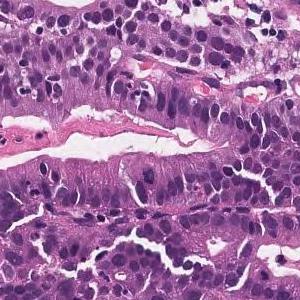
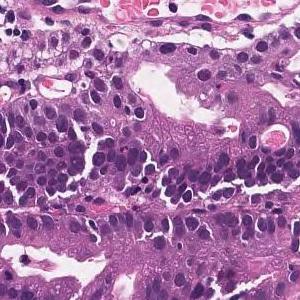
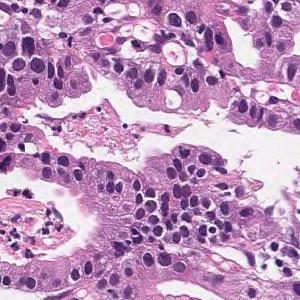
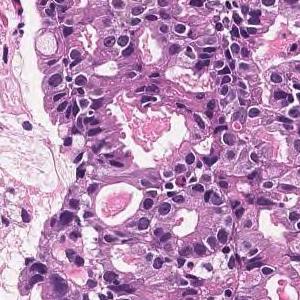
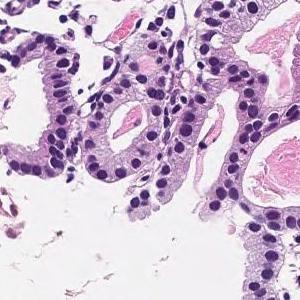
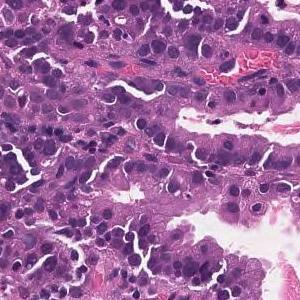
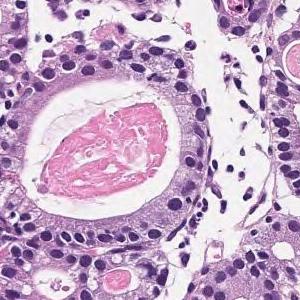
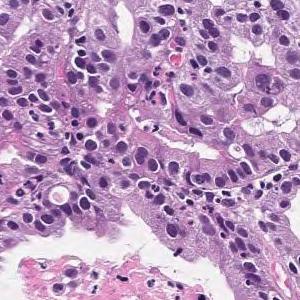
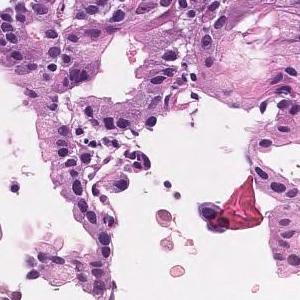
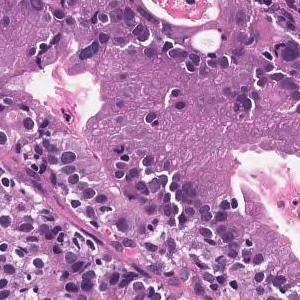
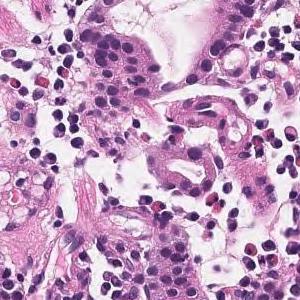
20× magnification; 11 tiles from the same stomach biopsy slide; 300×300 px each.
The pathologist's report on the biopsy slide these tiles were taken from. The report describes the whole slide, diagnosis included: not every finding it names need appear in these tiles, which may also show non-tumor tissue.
Medium to small, irregular glandular ducts are formed in the superficial epithelium, and in some cases, the glandular ducts are fused to show solid alveolar lesions and infiltrating tumor tissue is observed. Moderately to poorly differentiated adenocarcinoma.
